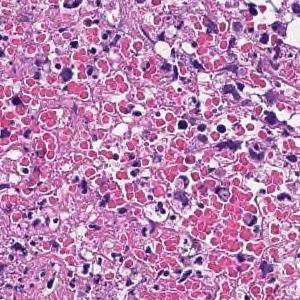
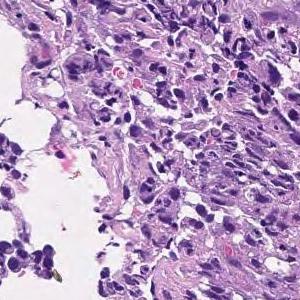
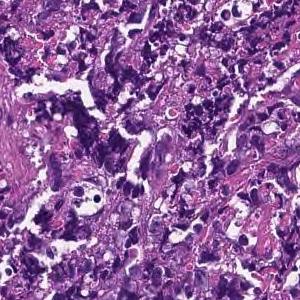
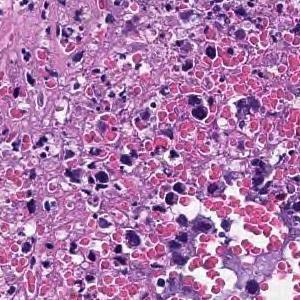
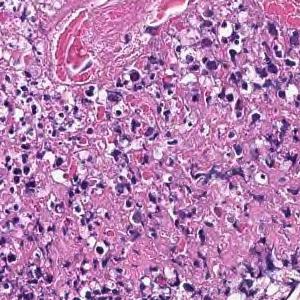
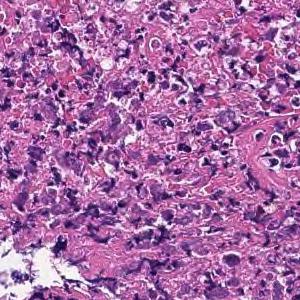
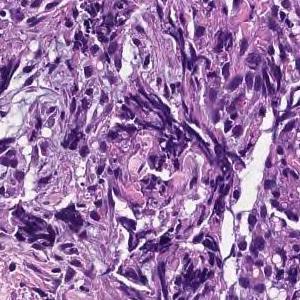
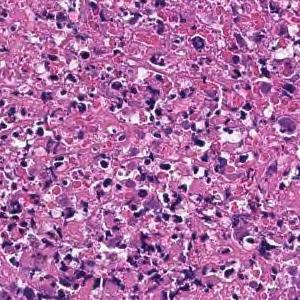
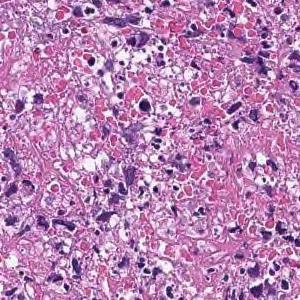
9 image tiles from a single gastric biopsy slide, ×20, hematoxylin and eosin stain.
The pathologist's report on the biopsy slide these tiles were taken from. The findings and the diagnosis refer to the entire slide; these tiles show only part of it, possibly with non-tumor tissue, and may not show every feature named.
Most are composed of coagulative necrotic tissue, but some show a large sheet-like shape, and some show tumor tissue infiltrating with a small cord-like structure. Poorly differentiated adenocarcinoma, solid-type
Subtype: Poorly differentiated adenocarcinoma, solid type (Japanese Classification of Gastric Carcinoma). The WHO 2019 equivalent is tubular adenocarcinoma, poorly differentiated.
